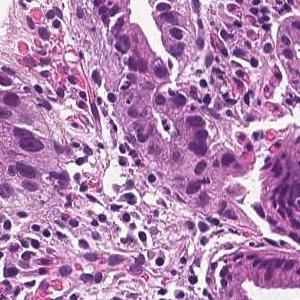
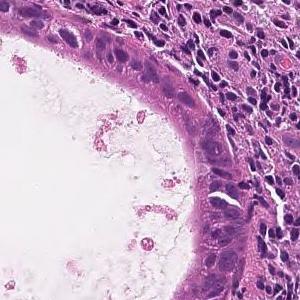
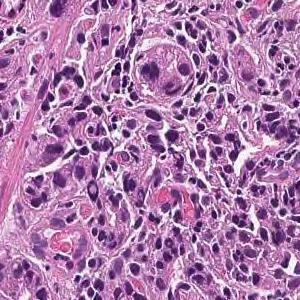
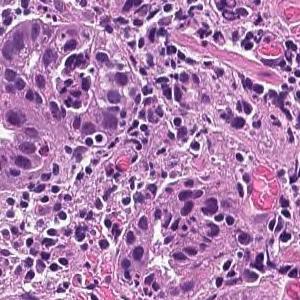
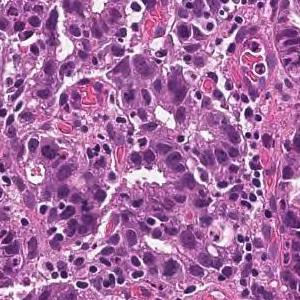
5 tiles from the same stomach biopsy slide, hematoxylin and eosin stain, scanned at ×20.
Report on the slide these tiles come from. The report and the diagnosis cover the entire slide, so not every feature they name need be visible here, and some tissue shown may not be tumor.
On the superficial epithelium, tumor tissue consisting of large irregular glandular ducts partially fused and infiltrated is observed. Well to moderately differentiated tubular adenocarcinoma (well differentiated tubular adenocarcinoma, moderately differentiated tubular adenocarcinoma)
Classified as well to moderately differentiated tubular adenocarcinoma.
